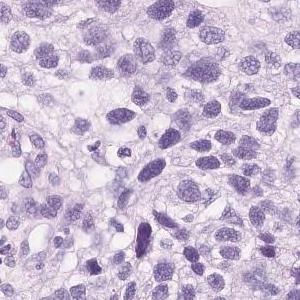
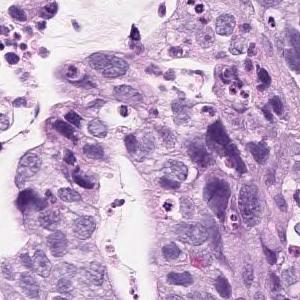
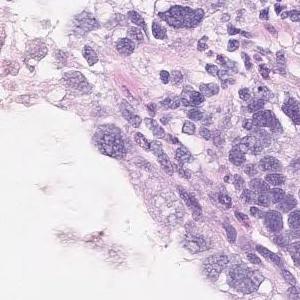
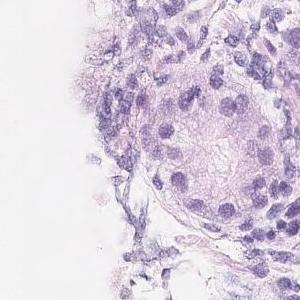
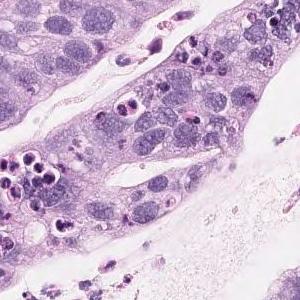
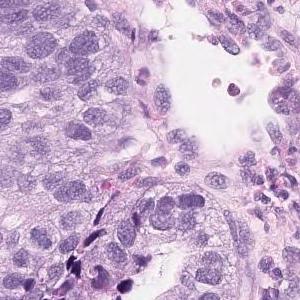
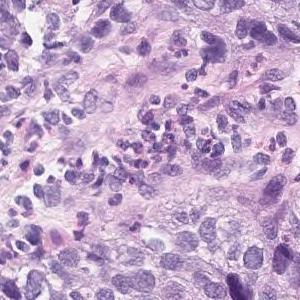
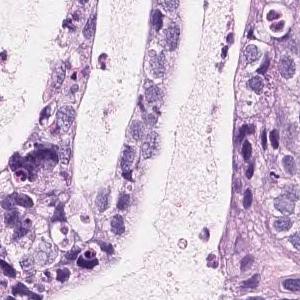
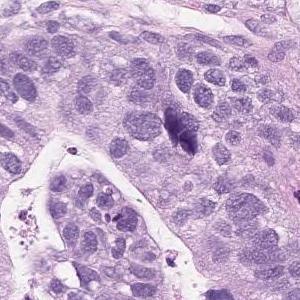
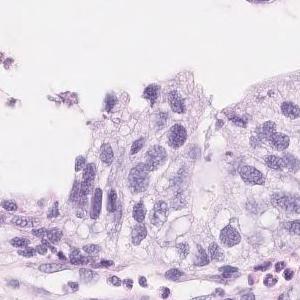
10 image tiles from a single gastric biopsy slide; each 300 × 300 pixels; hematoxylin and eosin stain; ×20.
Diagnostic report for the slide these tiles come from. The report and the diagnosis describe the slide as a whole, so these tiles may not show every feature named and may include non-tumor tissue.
On the superficial epithelium, tumor tissue consisting of large, irregular glandular ducts partially fused and infiltrated is observed. Well to moderately differentiated tubular adenocarcinoma (well differentiated tubular adenocarcinoma, moderately differentiated tubular adenocarcinoma)
Histological subtype: Well to moderately differentiated tubular adenocarcinoma.
